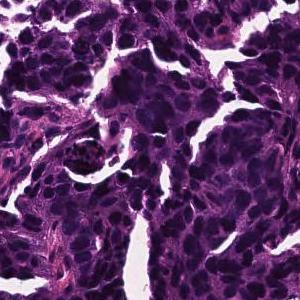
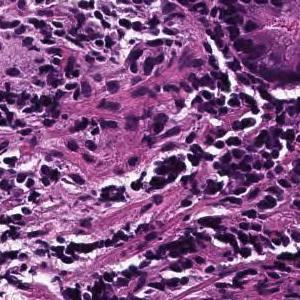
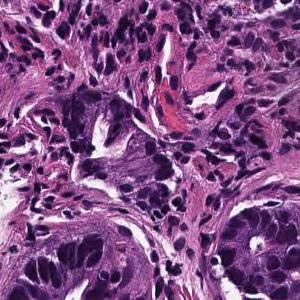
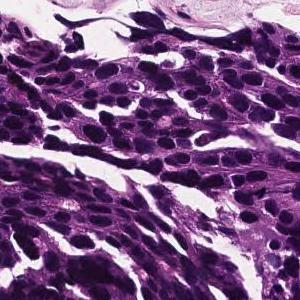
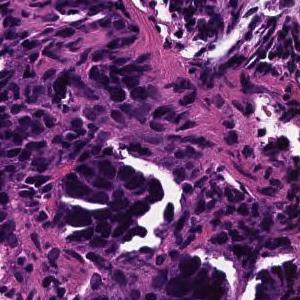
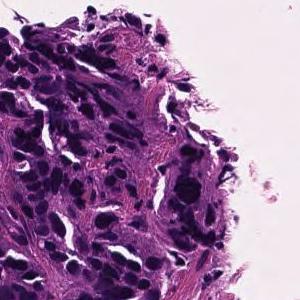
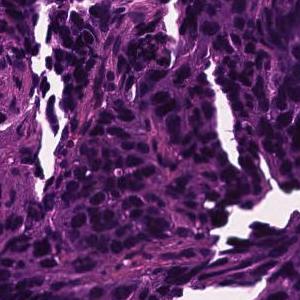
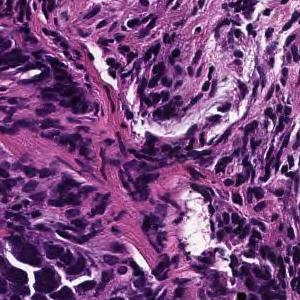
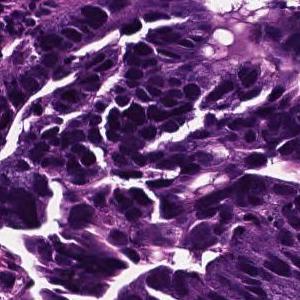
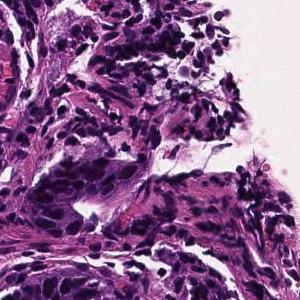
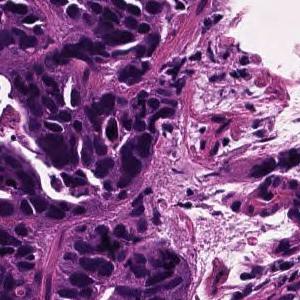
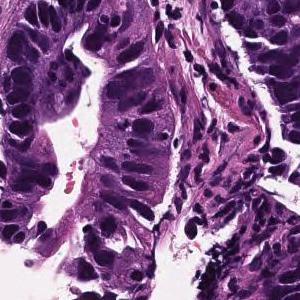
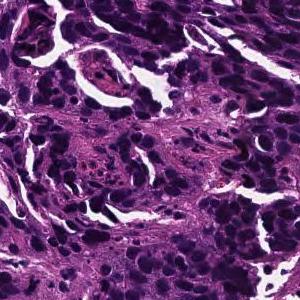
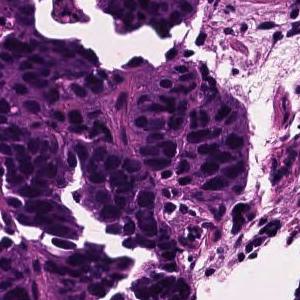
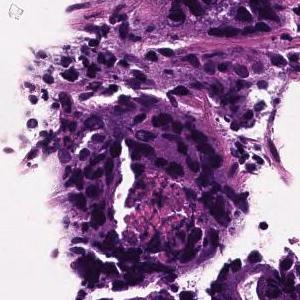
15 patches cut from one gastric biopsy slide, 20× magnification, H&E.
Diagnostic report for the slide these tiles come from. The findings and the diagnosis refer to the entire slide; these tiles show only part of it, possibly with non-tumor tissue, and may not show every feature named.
In the superficial epithelium, medium to small irregular gland ducts are formed, and in some cases, the ducts are fused to show solid alveolar lesions and infiltrating tumor tissue is observed. moderately differentiated tubular adenocarcinoma or poorly differentiated adenocarcinoma, solid-type (poorly differentiated adenocarcinoma, solid type)
Dataset label: poorly differentiated adenocarcinoma, solid type. This name comes from the Japanese Classification of Gastric Carcinoma; the WHO 2019 classification calls it tubular adenocarcinoma, poorly differentiated.
